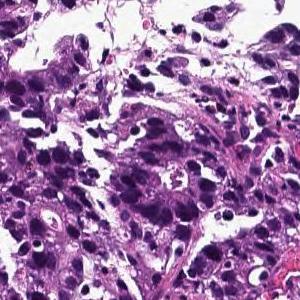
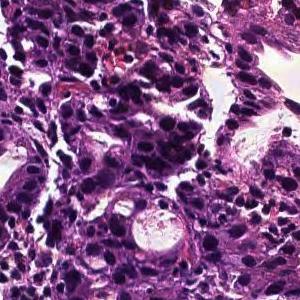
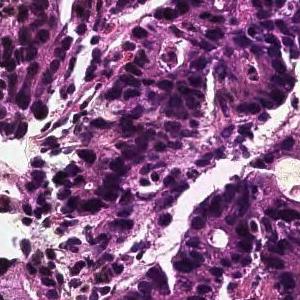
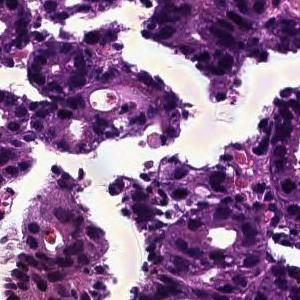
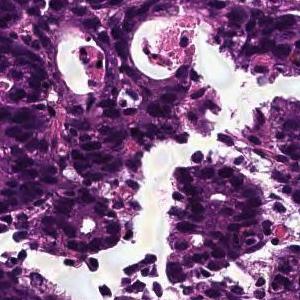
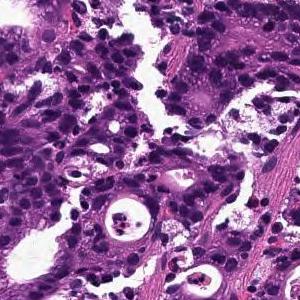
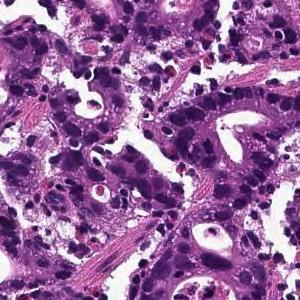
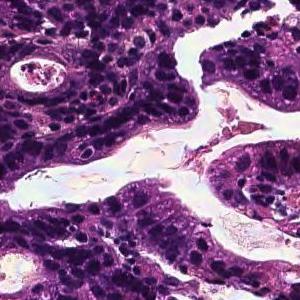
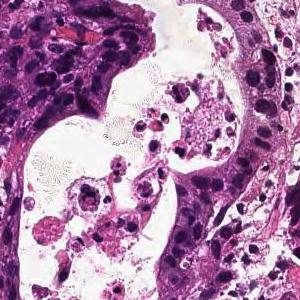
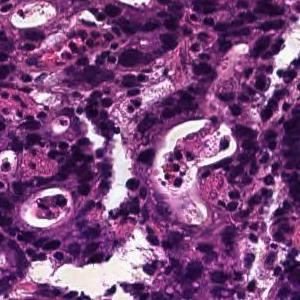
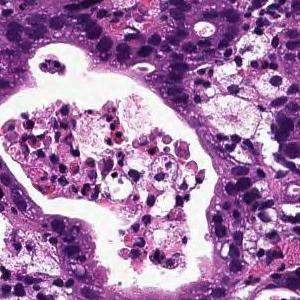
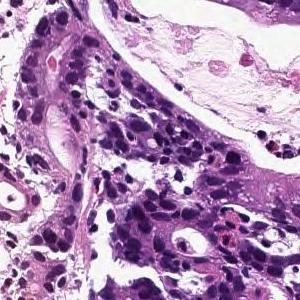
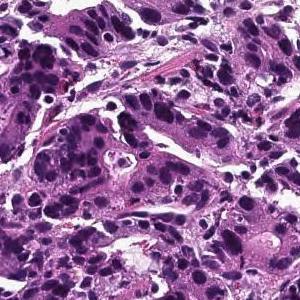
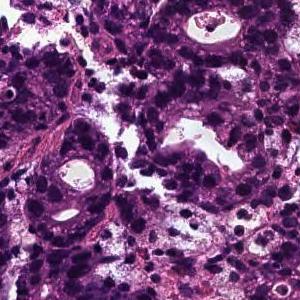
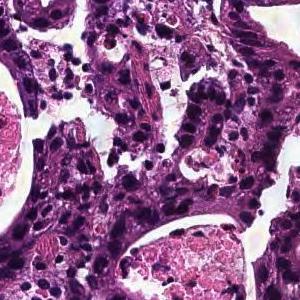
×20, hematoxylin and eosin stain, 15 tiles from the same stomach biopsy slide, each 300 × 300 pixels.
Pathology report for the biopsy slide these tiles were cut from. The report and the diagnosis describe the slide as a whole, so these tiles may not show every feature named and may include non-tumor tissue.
In the superficial epithelium, tumor tissue that invades by forming medium-sized to small, irregular ducts is observed. moderately differentiated tubular adenocarcinoma.
